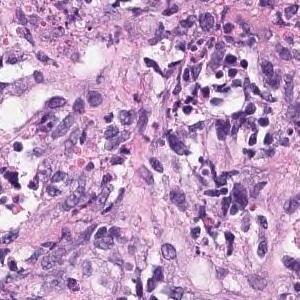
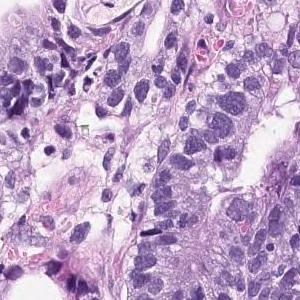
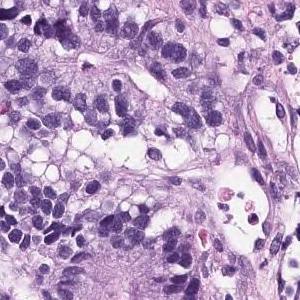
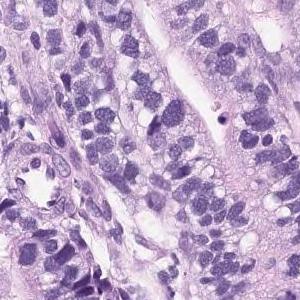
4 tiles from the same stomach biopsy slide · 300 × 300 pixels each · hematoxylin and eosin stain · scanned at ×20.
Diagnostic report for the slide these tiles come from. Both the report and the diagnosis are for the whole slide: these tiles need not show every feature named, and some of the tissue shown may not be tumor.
Hyperplasia of atypical epithelial cells with swelling of the nucleus is observed. Moderately diffentiated tubular adenocarcinoma
Histologic type: Moderately differentiated tubular adenocarcinoma.
